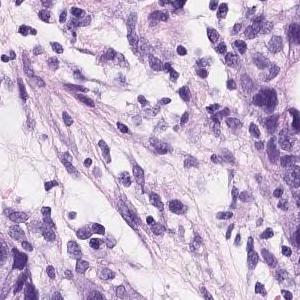
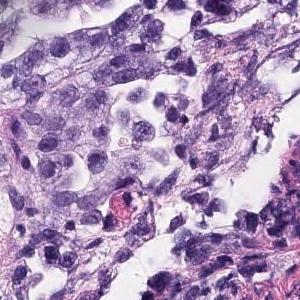
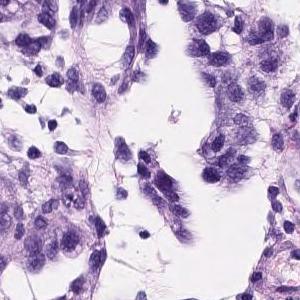
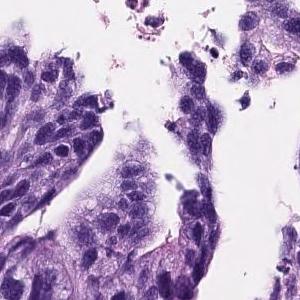
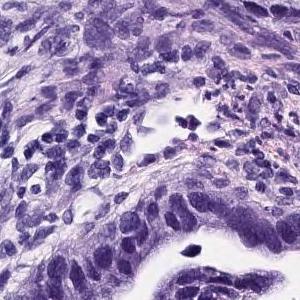
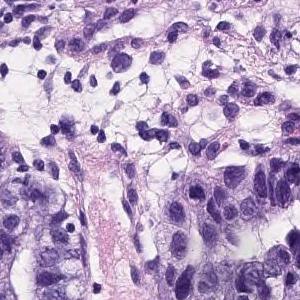
Scanned at ×20 · 6 patches cut from one gastric biopsy slide · 300 × 300 pixels each.
Report on the slide these tiles come from. The findings and the diagnosis refer to the entire slide; these tiles show only part of it, possibly with non-tumor tissue, and may not show every feature named.
On the superficial epithelium, tumor tissue consisting of medium to small irregular tubules partially fused and proliferated is observed. moderately differentiated tubular adenocarcinoma
